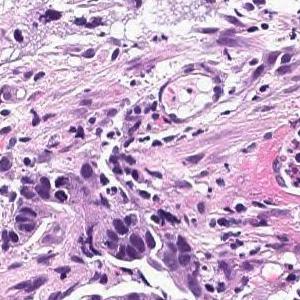
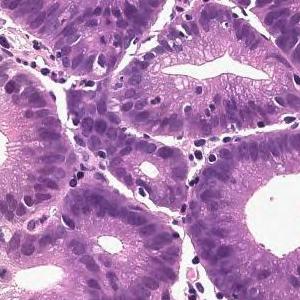
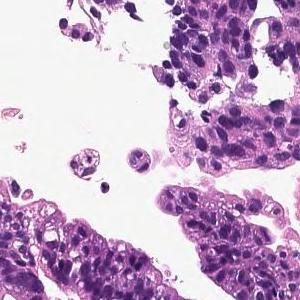
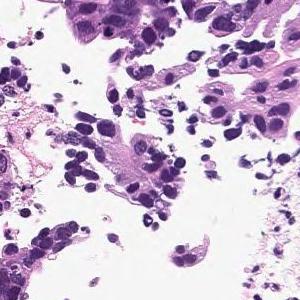
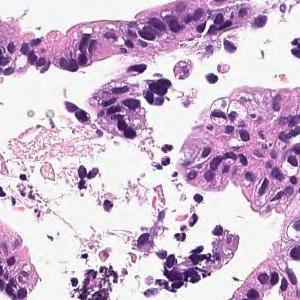
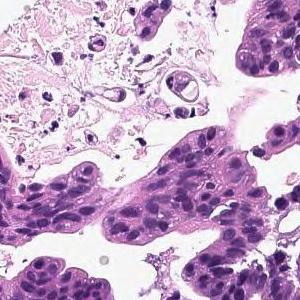
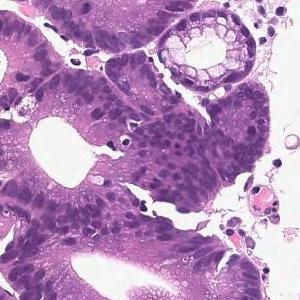
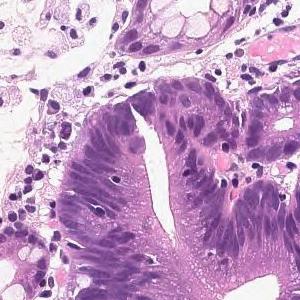
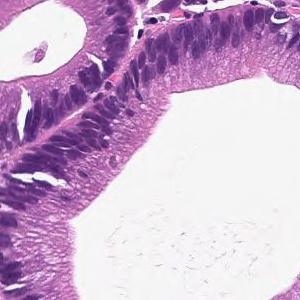
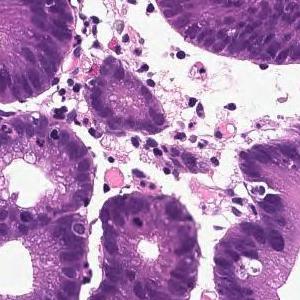
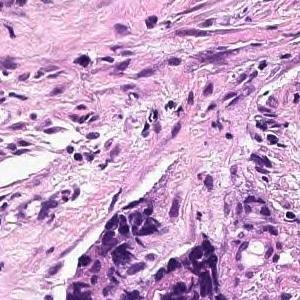
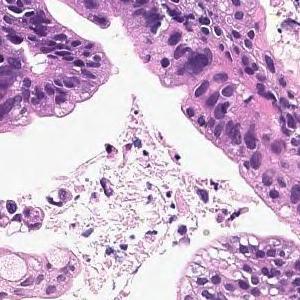
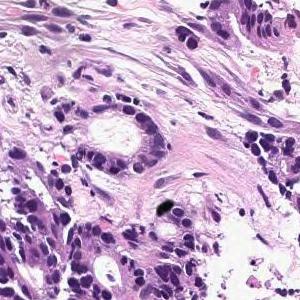
H&E · scanned at ×20 · 13 tiles from the same stomach biopsy slide.
Pathology report for the slide these tiles were cut from. The report and the diagnosis cover the entire slide, so not every feature they name need be visible here, and some tissue shown may not be tumor.
In the superficial epithelium, tumor tissue that invades by forming medium-sized to small, irregular ducts is observed. moderately differentiated tubular adenocarcinoma.
